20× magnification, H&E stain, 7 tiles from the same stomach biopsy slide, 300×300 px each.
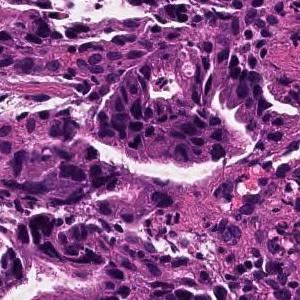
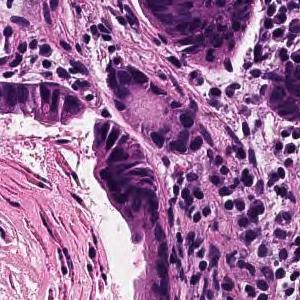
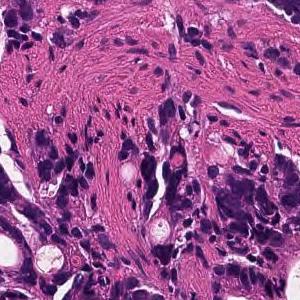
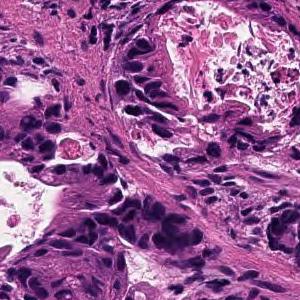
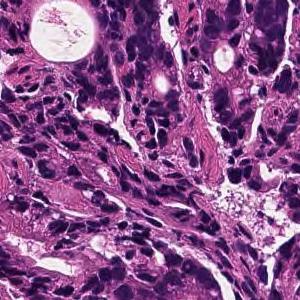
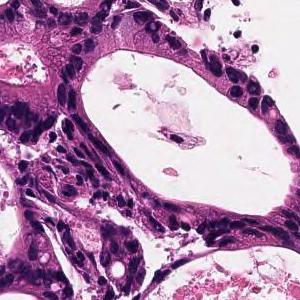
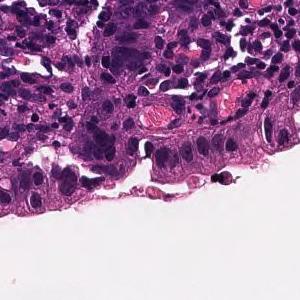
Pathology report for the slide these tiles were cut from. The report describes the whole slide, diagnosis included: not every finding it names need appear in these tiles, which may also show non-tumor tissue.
In the superficial epithelium, tumor tissue that invades by forming medium-sized to small, irregular ducts is observed. moderately differentiated tubular adenocarcinoma.
